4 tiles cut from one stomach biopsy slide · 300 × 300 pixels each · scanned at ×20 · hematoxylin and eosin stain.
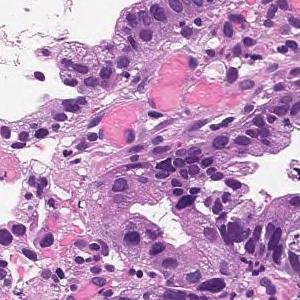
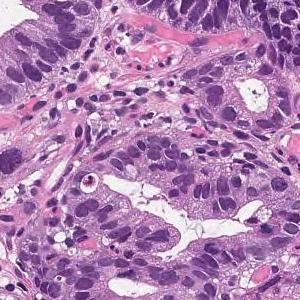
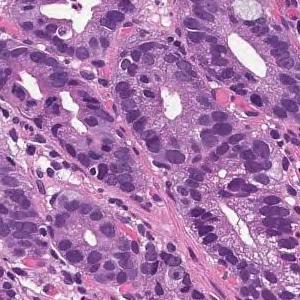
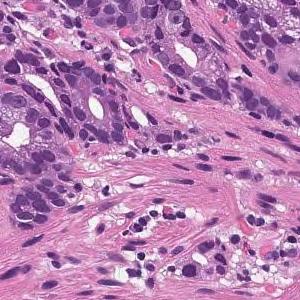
Pathology report for the slide these tiles were cut from. The report and the diagnosis cover the entire slide, so not every feature they name need be visible here, and some tissue shown may not be tumor.
On the superficial epithelium, tumor tissue consisting of large irregular glandular ducts partially fused and infiltrated is observed. Well to moderately differentiated tubular adenocarcinoma (well differentiated tubular adenocarcinoma, moderately differentiated tubular adenocarcinoma)
Tumor subtype: well to moderately differentiated tubular adenocarcinoma.
